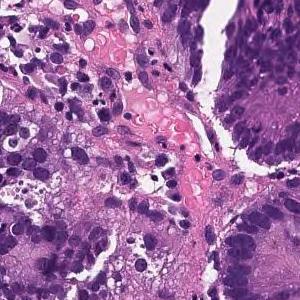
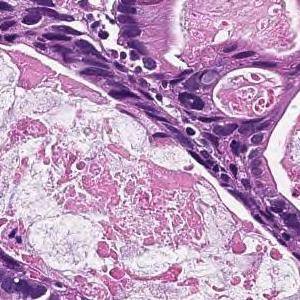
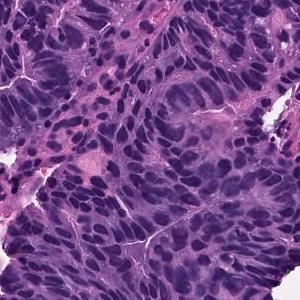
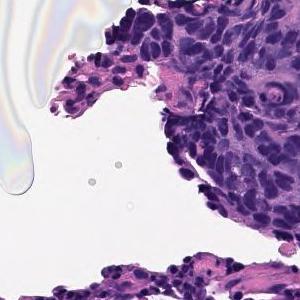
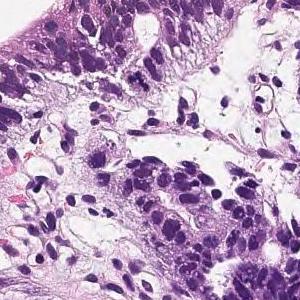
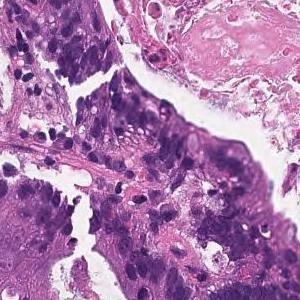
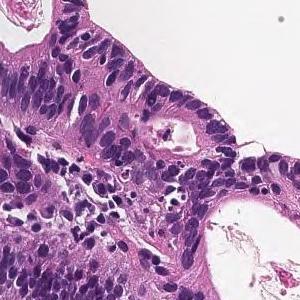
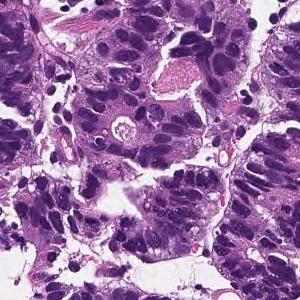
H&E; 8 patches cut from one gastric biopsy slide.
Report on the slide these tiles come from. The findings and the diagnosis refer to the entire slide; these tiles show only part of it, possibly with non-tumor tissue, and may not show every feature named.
In the superficial epithelium, tumor tissue that invades by forming medium-sized to small, irregular ducts is observed. moderately differentiated tubular adenocarcinoma.
